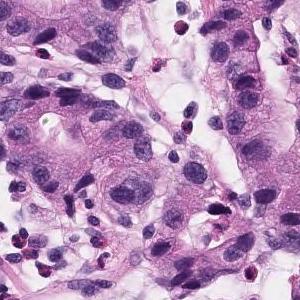
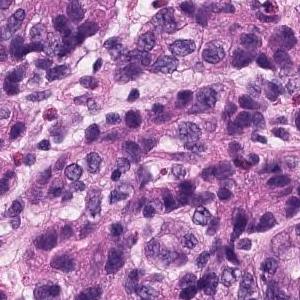
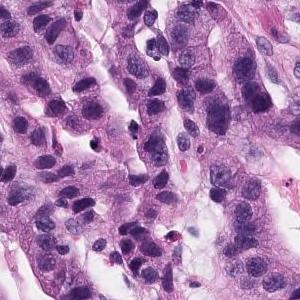
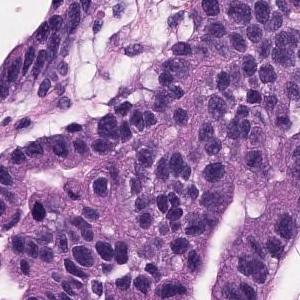
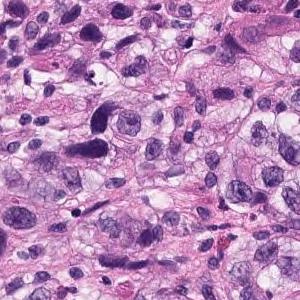
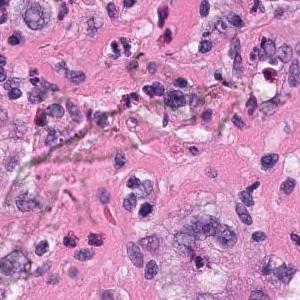
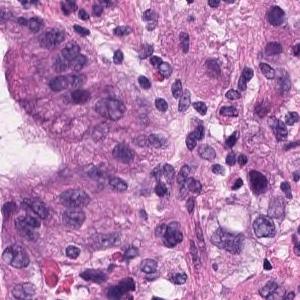
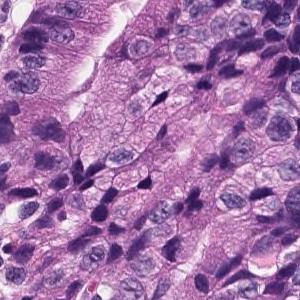
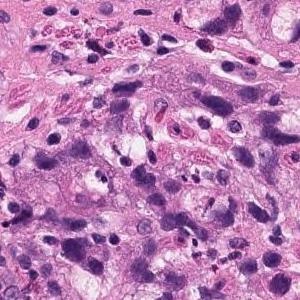
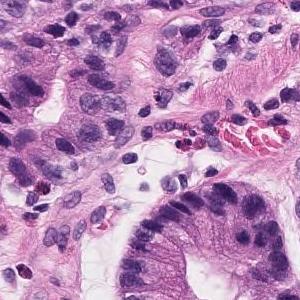
10 tiles cut from one stomach biopsy slide; scanned at ×20; H&E stain.
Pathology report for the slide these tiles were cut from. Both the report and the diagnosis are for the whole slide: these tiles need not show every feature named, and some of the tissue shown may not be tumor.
Atypical l cells with atypical nuclei forming diffuse or small irregular atypical ducts and growing. Moderately to poorly differentiated adenocarcinoma (poorly differentiated adenocarcinoma, solid type, moderately differentiated tubular adenocarcinoma)
Classified as moderately to poorly differentiated adenocarcinoma.
The solid type named here is a Japanese Classification of Gastric Carcinoma category; WHO 2019 calls it tubular adenocarcinoma, poorly differentiated.
